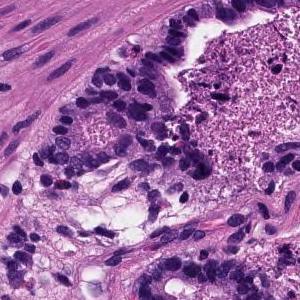
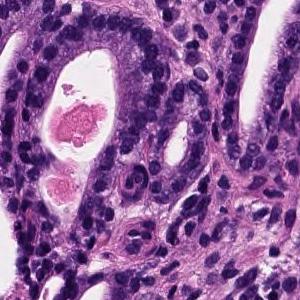
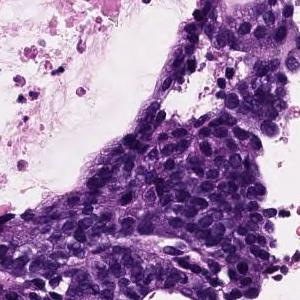
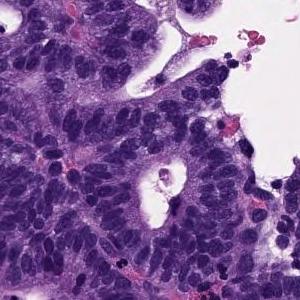
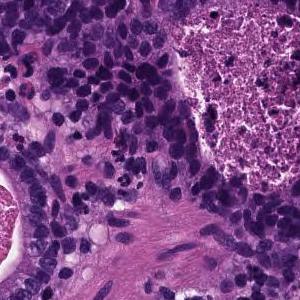
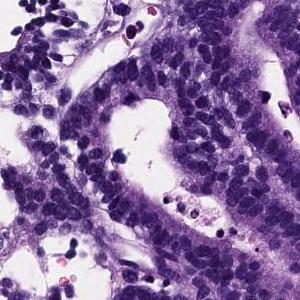
6 tiles cut from one stomach biopsy slide, H&E stain, 20× magnification.
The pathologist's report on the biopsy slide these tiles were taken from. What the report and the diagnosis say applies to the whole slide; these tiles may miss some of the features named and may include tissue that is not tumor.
From the superficial epithelium to the muscularis mucosae, tumor tissue consisting of medium-sized and irregular glandular ducts infiltrating is observed. Well differentiated tubular adenocarcinoma
